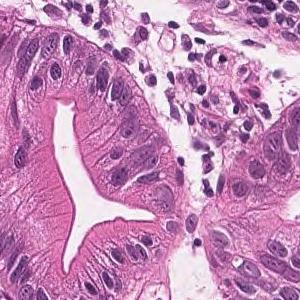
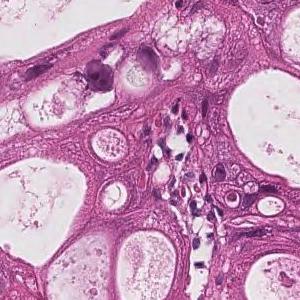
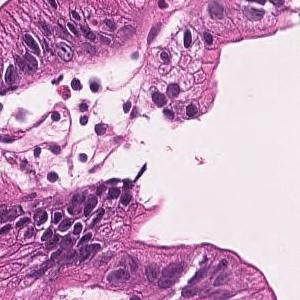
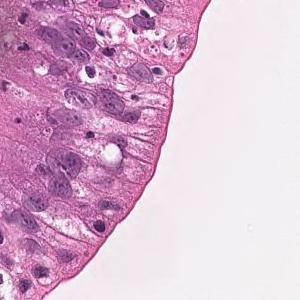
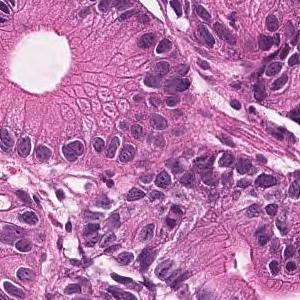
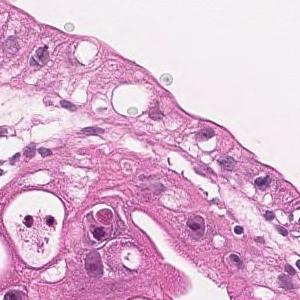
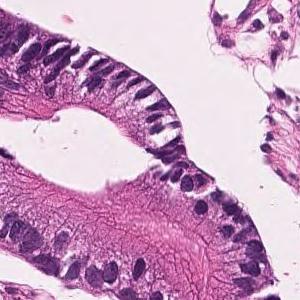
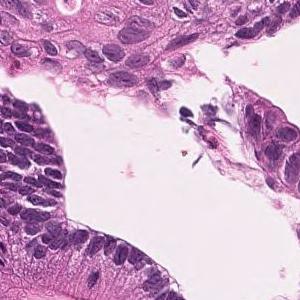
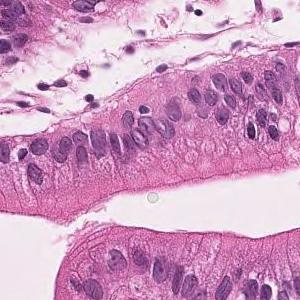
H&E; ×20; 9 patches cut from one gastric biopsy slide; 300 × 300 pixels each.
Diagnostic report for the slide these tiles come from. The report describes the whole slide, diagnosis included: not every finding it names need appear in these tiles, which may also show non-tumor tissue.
On the superficial epithelium, tumor tissue that infiltrates by forming medium-sized papillary or small irregular ducts is observed. Papillary adenocarcinoma
